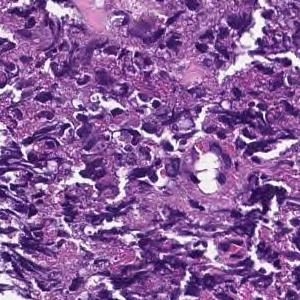
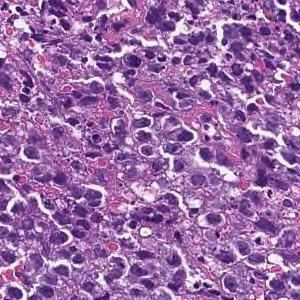
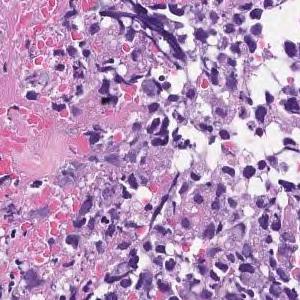
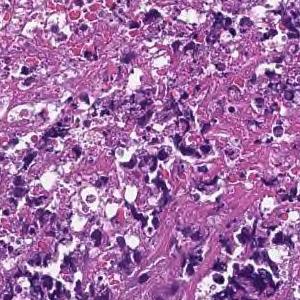
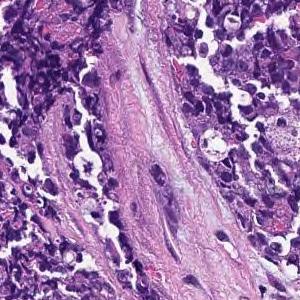
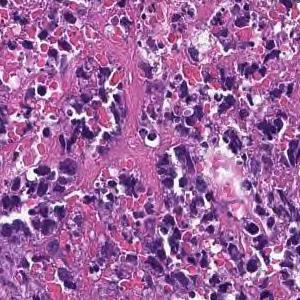
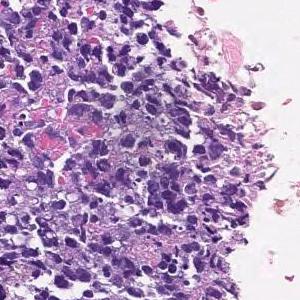
7 tiles cut from one stomach biopsy slide · 300×300 px each · scanned at ×20 · H&E.
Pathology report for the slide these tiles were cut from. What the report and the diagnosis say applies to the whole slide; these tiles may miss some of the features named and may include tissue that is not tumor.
Most are composed of coagulative necrotic tissue, but some show a large sheet-like shape, and some show tumor tissue infiltrating with a small cord-like structure. Poorly differentiated adenocarcinoma, solid-type
Histologic type: Poorly differentiated adenocarcinoma, solid type (Japanese Classification of Gastric Carcinoma). The WHO 2019 equivalent is tubular adenocarcinoma, poorly differentiated.
